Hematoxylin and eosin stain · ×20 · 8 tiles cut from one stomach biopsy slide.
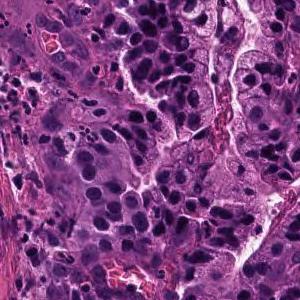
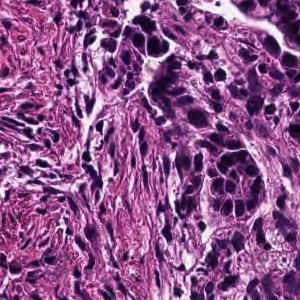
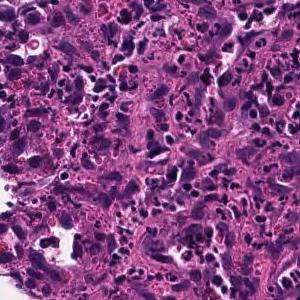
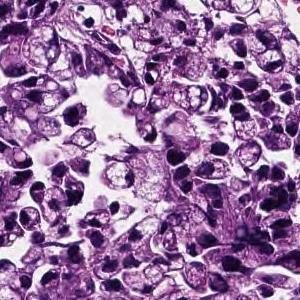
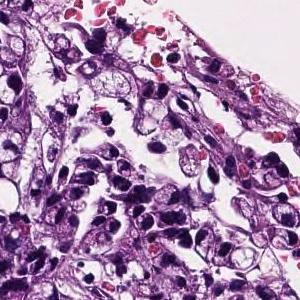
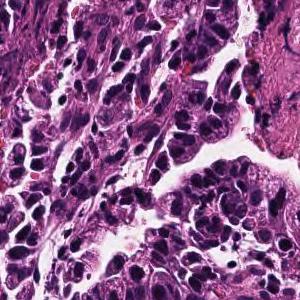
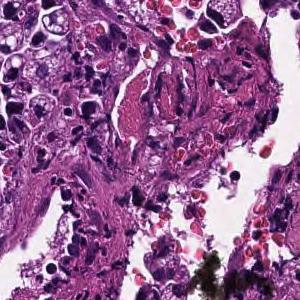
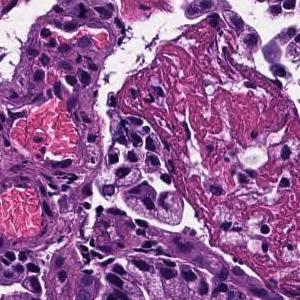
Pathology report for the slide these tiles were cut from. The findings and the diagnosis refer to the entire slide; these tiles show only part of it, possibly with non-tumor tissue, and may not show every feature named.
Tumor cells are large, highly columnar, large club-shaped nuclei, and are associated with chromatin aggregation. Papillary adenocarcinoma.
